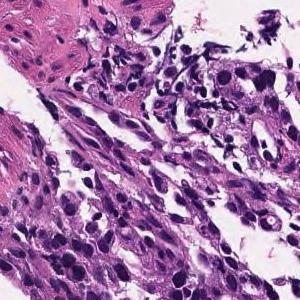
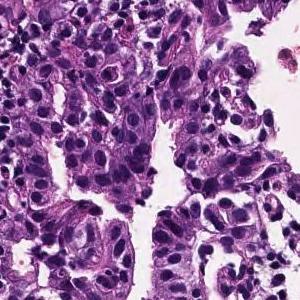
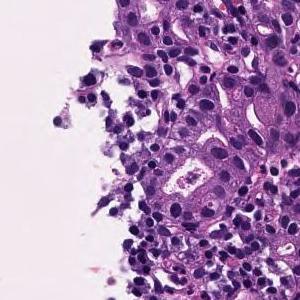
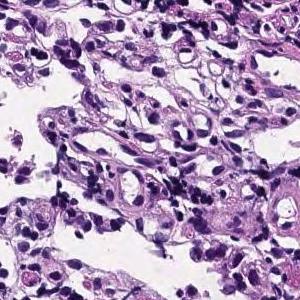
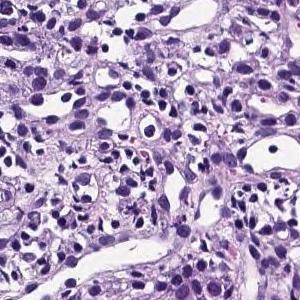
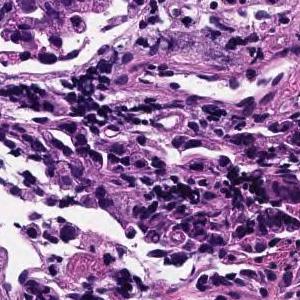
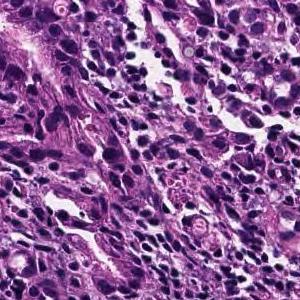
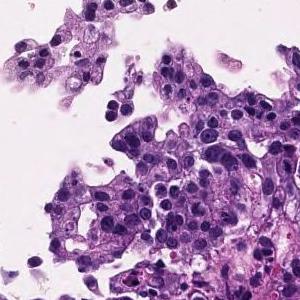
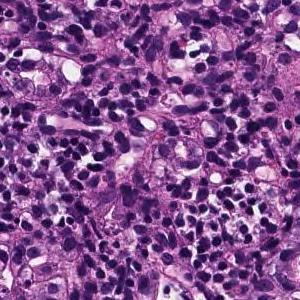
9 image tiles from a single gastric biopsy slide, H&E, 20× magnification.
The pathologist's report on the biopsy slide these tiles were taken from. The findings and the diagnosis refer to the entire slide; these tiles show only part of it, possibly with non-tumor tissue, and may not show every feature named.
Medium to small, irregular glandular ducts are formed in the superficial epithelium, and in some cases, the glandular ducts are fused to show solid alveolar lesions and infiltrating tumor tissue is observed. Moderately to poorly differentiated adenocarcinoma.
